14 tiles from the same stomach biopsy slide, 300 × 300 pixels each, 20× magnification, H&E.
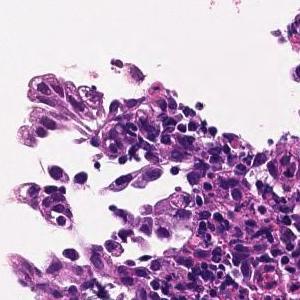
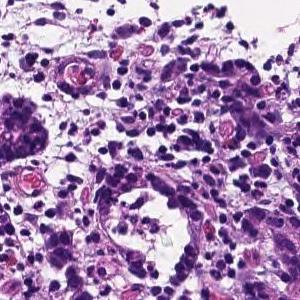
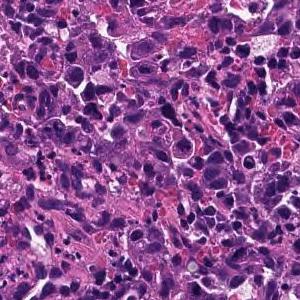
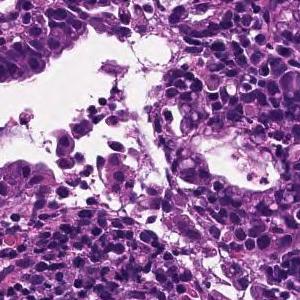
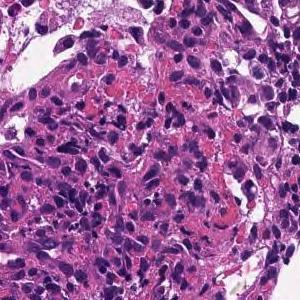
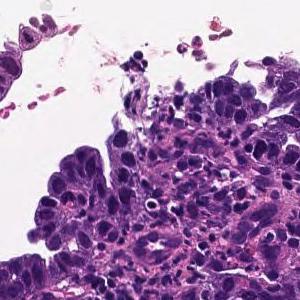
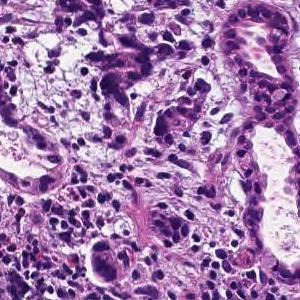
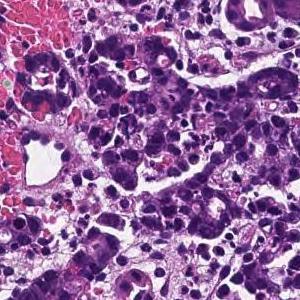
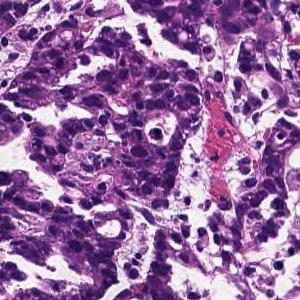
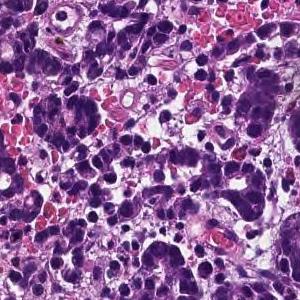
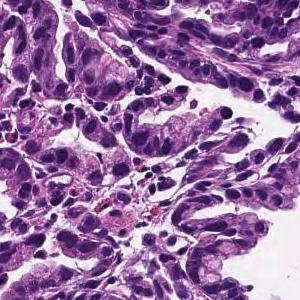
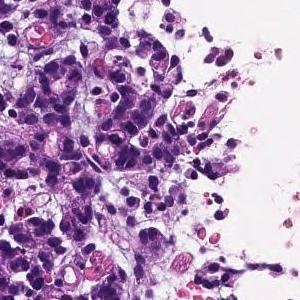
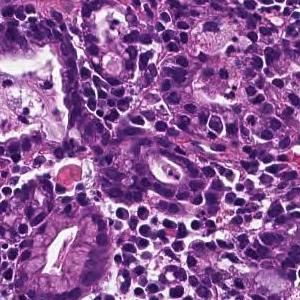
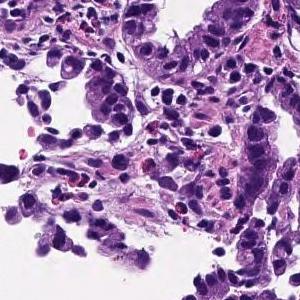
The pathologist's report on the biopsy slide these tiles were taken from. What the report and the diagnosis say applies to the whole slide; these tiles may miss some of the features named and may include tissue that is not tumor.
In the superficial epithelium, tumor tissue that invades by forming medium-sized to small, irregular ducts is observed. moderately differentiated tubular adenocarcinoma.
